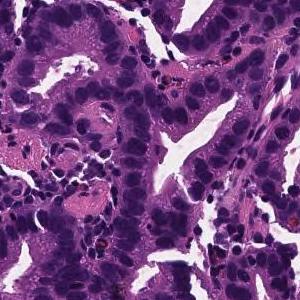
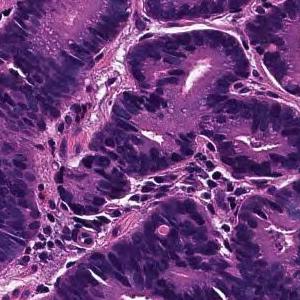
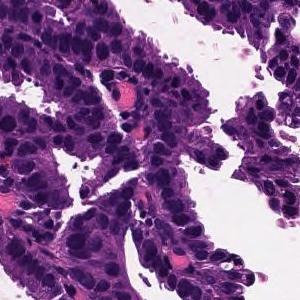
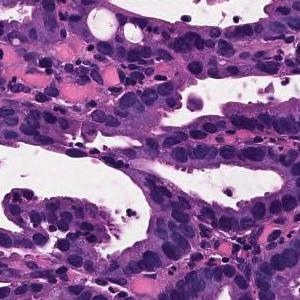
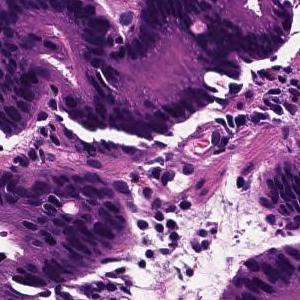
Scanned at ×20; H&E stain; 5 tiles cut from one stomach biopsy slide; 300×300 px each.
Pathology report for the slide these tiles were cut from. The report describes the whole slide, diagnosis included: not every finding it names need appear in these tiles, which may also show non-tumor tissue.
On the superficial epithelium, tumor tissue is found in which medium-sized irregular gland ducts fuse with each other and infiltrate. moderately differentiated tubular adenocarcinoma
